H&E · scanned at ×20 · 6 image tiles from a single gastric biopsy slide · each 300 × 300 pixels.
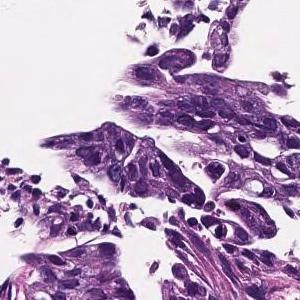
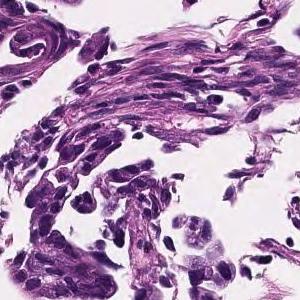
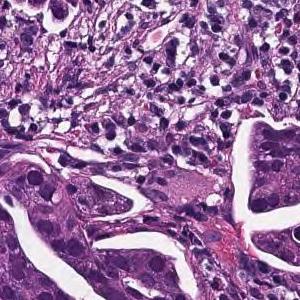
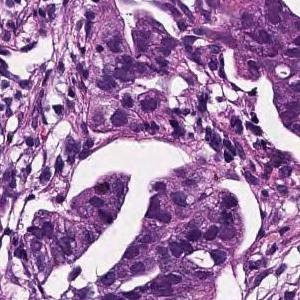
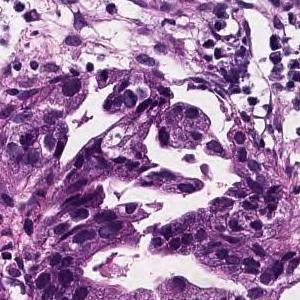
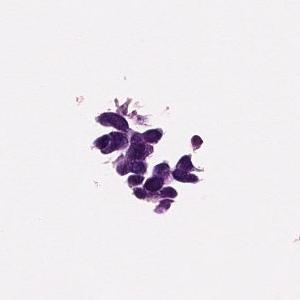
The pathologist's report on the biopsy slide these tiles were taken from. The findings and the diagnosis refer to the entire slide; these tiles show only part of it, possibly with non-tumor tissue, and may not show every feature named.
In the lamina propria, tumor tissue that invades by forming medium-sized to small, irregular glandular ducts is observed. moderately differentiated tubular adenocarcinoma
